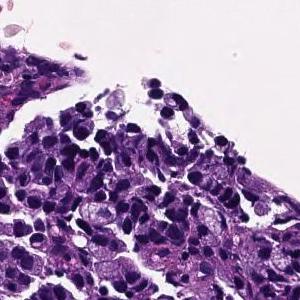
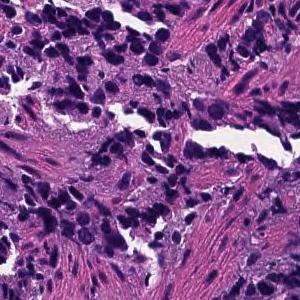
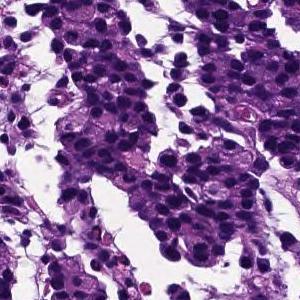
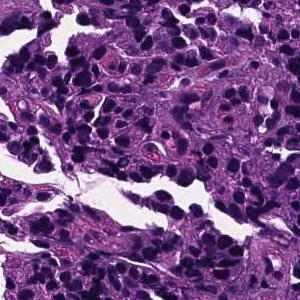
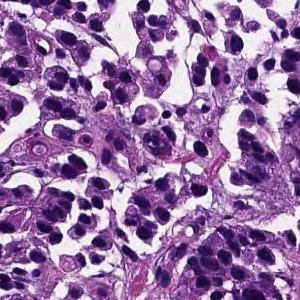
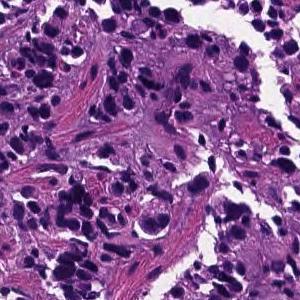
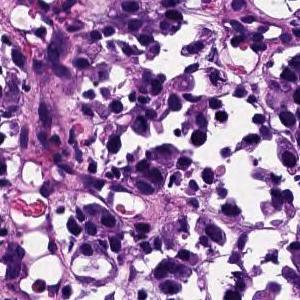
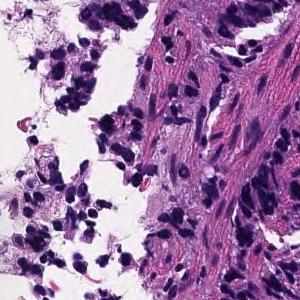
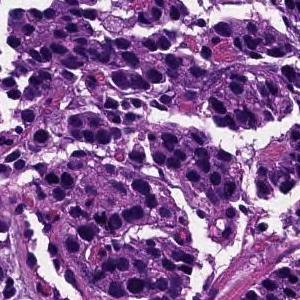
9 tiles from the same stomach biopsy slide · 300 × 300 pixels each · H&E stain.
The pathologist's report on the biopsy slide these tiles were taken from. Both the report and the diagnosis are for the whole slide: these tiles need not show every feature named, and some of the tissue shown may not be tumor.
The superficial epithelium shows a large alveolar shape and infiltrates tumor tissue. Poorly differentiated adenocarcinoma, solid-type
Subtype: Poorly differentiated adenocarcinoma, solid type. This name comes from the Japanese Classification of Gastric Carcinoma; the WHO 2019 classification calls it tubular adenocarcinoma, poorly differentiated.
